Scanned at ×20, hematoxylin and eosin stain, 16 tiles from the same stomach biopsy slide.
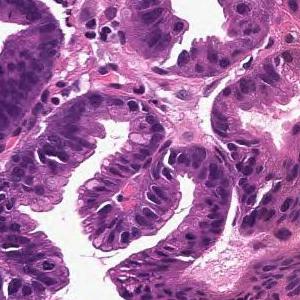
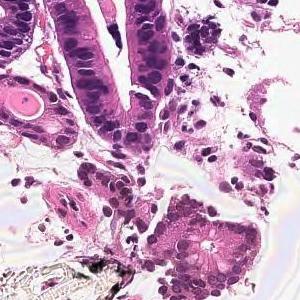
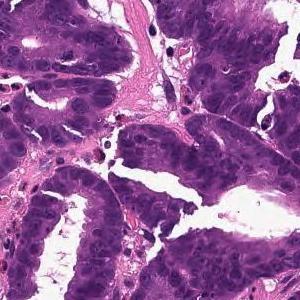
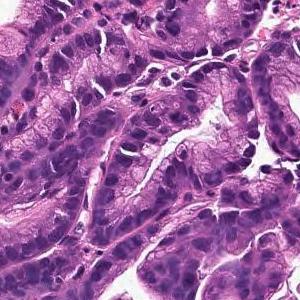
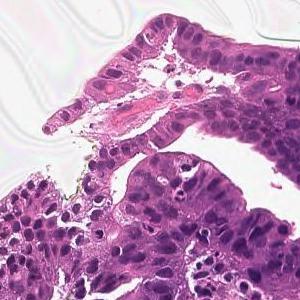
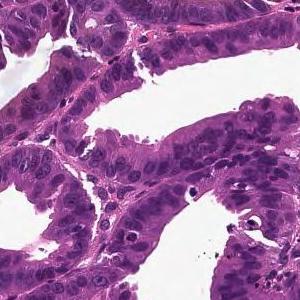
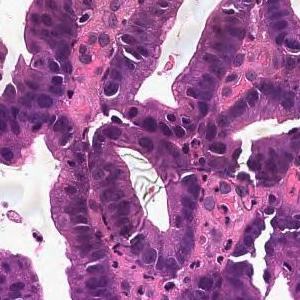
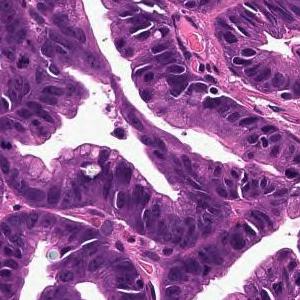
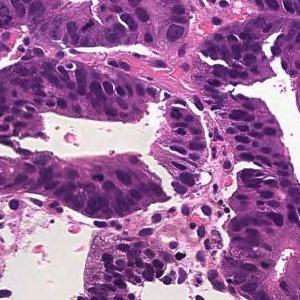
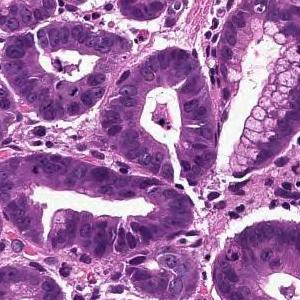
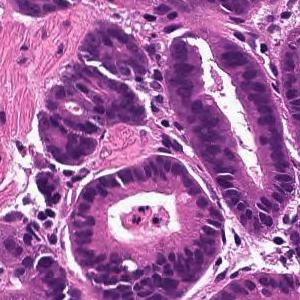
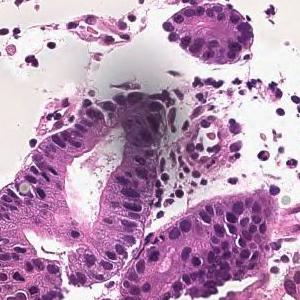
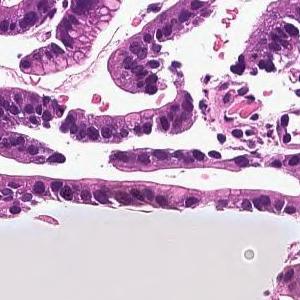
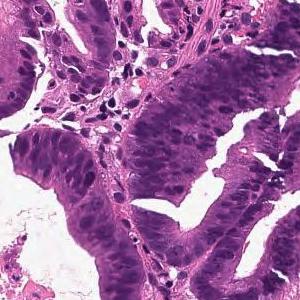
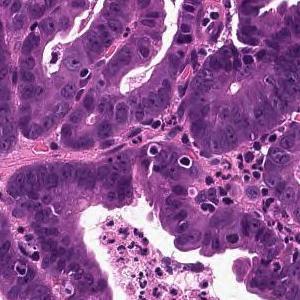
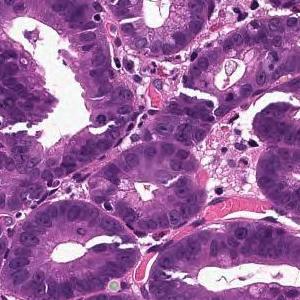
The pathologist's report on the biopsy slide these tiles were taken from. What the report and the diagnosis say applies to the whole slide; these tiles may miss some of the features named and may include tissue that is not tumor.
From the superficial epithelium to the muscularis mucosae, tumor tissue consisting of medium-sized and irregular glandular ducts infiltrating is observed. Well differentiated tubular adenocarcinoma
